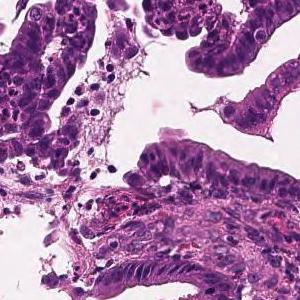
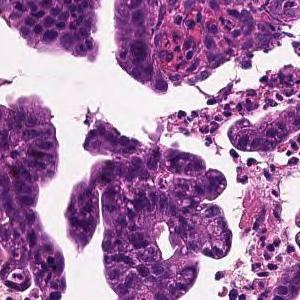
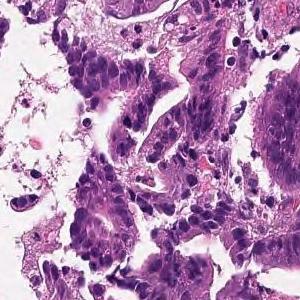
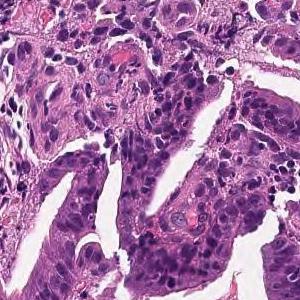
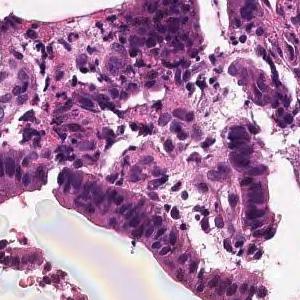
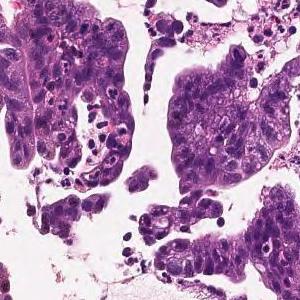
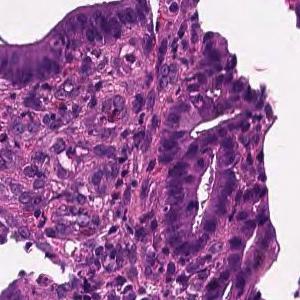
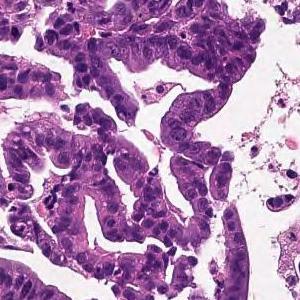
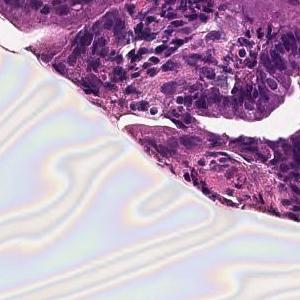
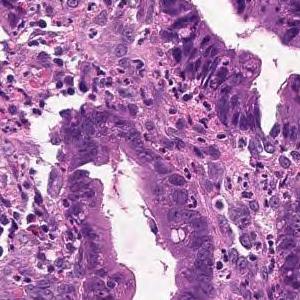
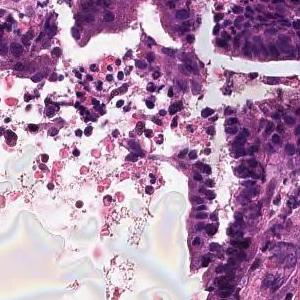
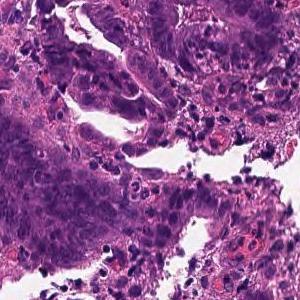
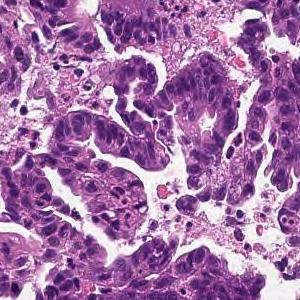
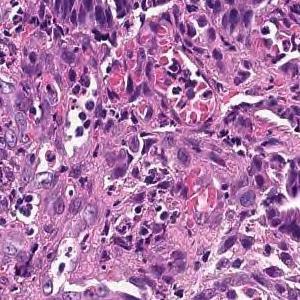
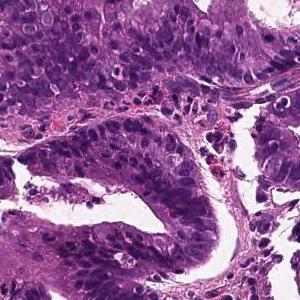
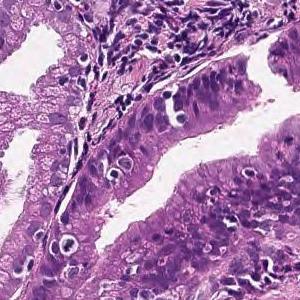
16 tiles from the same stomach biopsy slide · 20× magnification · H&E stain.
Pathology report for the biopsy slide these tiles were cut from. The report and the diagnosis cover the entire slide, so not every feature they name need be visible here, and some tissue shown may not be tumor.
From the superficial epithelium to the muscularis mucosae, tumor tissue consisting of medium-sized and irregular glandular ducts infiltrating is observed. Well differentiated tubular adenocarcinoma
